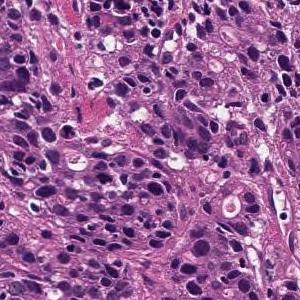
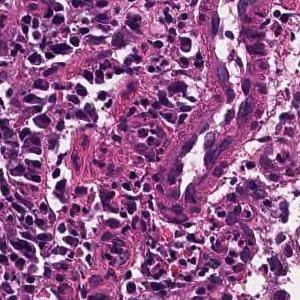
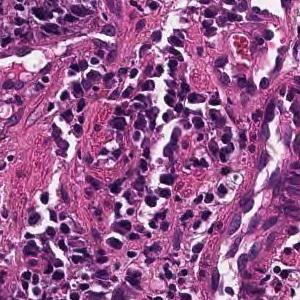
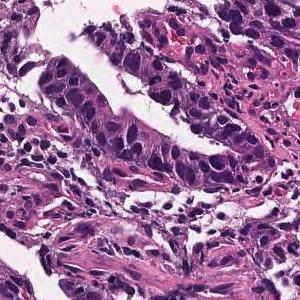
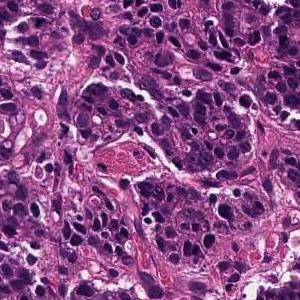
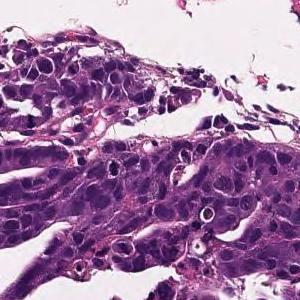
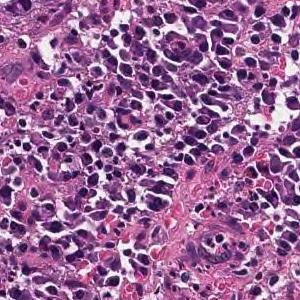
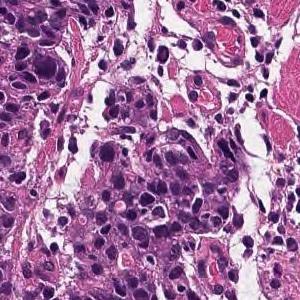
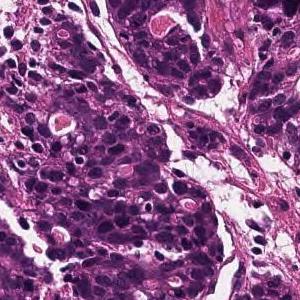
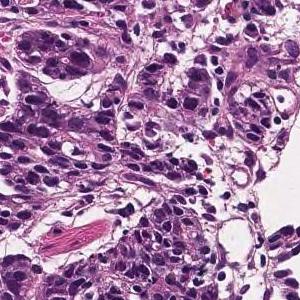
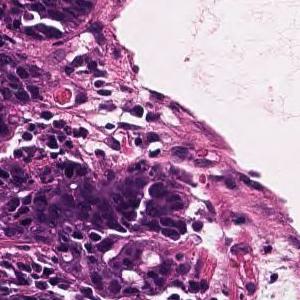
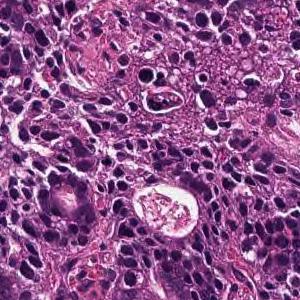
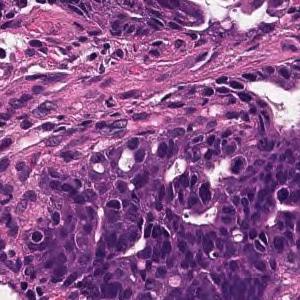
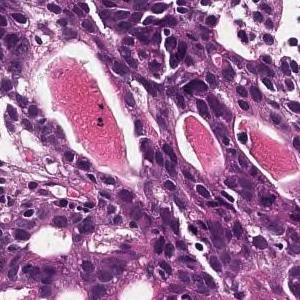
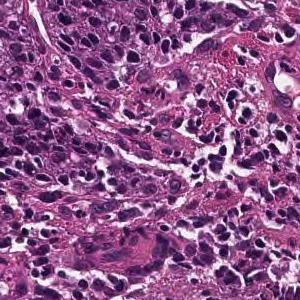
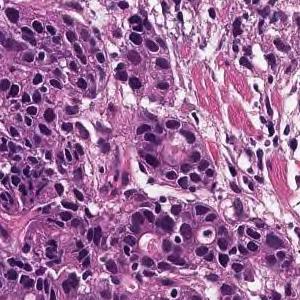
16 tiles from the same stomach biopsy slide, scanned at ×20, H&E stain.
The pathologist's report on the biopsy slide these tiles were taken from. The findings and the diagnosis refer to the entire slide; these tiles show only part of it, possibly with non-tumor tissue, and may not show every feature named.
Medium to small, irregular glandular ducts are formed in the superficial epithelium, and in some cases, the glandular ducts are fused to show solid alveolar lesions and infiltrating tumor tissue is observed. Moderately to poorly differentiated adenocarcinoma.
